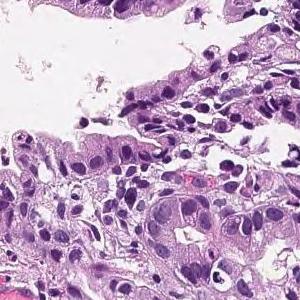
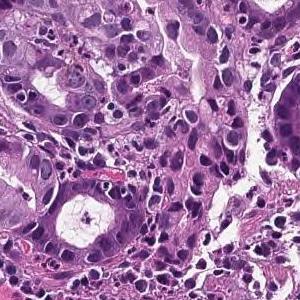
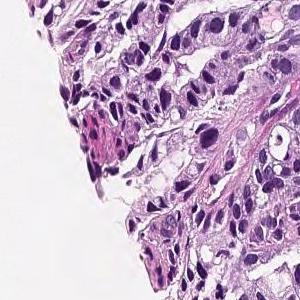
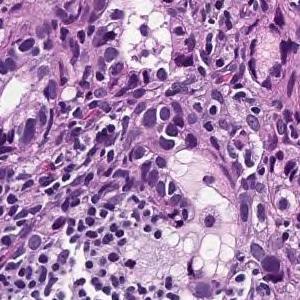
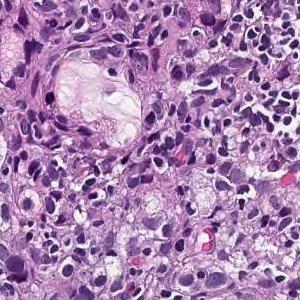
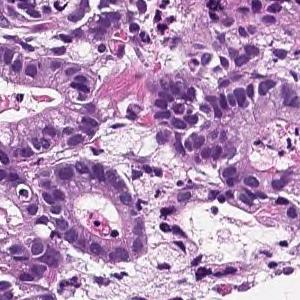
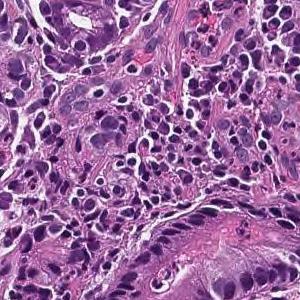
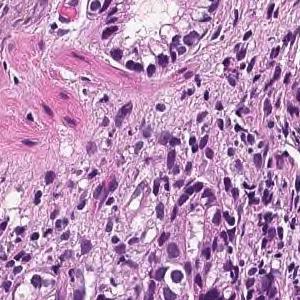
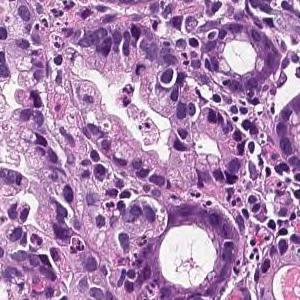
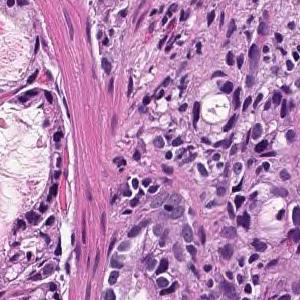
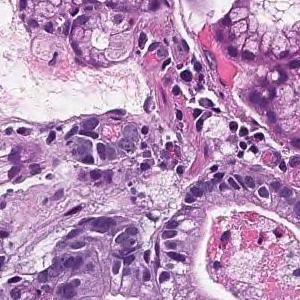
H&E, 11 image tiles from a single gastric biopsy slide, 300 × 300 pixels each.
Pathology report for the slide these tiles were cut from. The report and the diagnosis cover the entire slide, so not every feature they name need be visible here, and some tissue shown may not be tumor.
From the superficial epithelium to the muscularis mucosae, tumor tissue consisting of medium-sized and irregular glandular ducts infiltrating is observed. Well differentiated tubular adenocarcinoma
